16 tiles from the same stomach biopsy slide; 300×300 px each; hematoxylin and eosin stain.
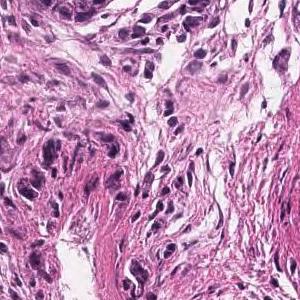
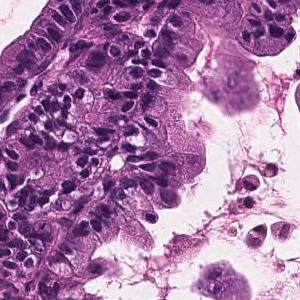
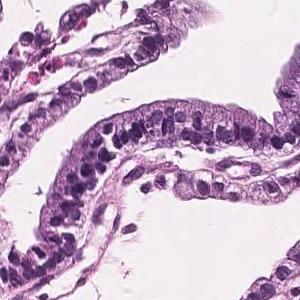
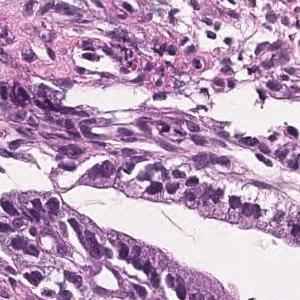
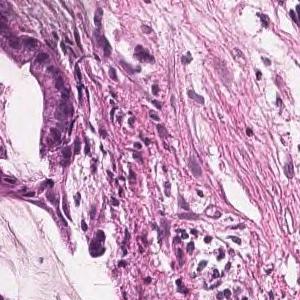
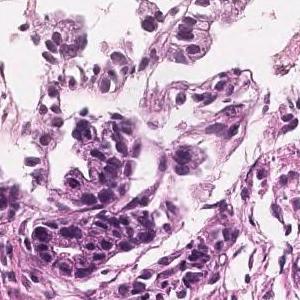
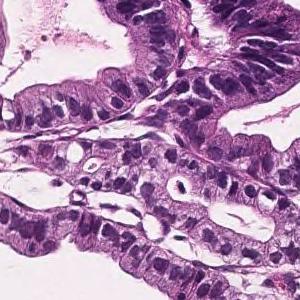
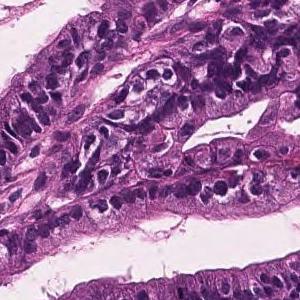
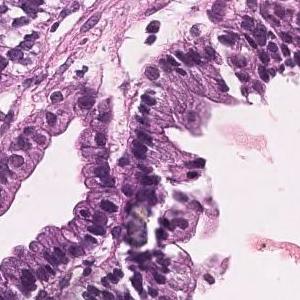
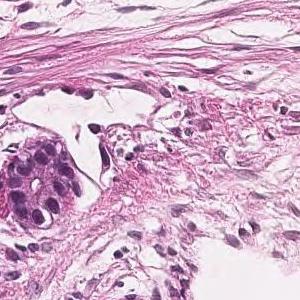
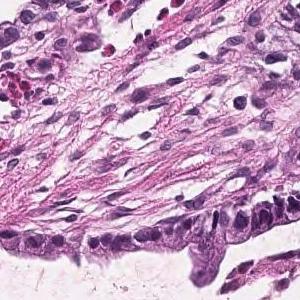
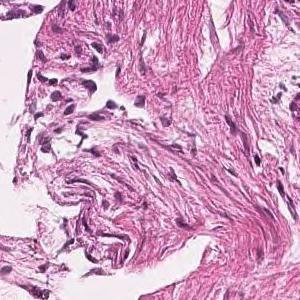
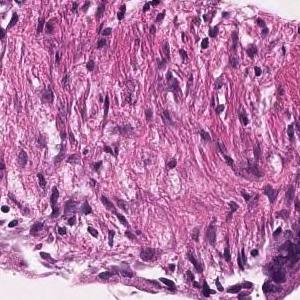
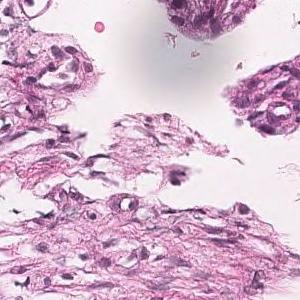
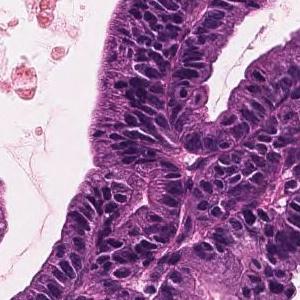
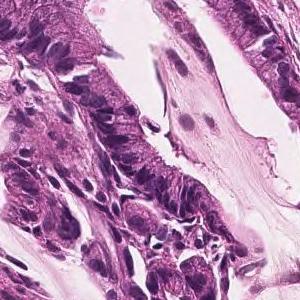
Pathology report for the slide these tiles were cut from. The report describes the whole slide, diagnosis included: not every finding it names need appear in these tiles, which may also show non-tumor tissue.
Tumor cells are large, highly columnar, large club-shaped nuclei, and are associated with chromatin aggregation. Papillary adenocarcinoma.
